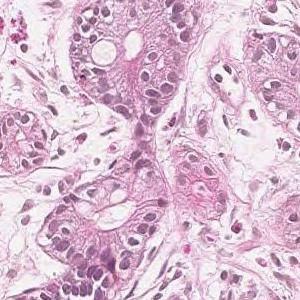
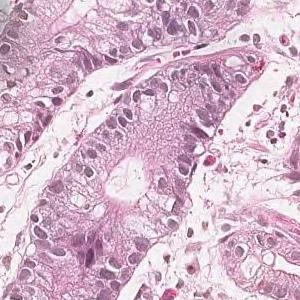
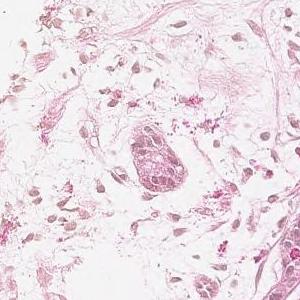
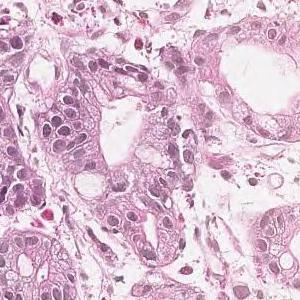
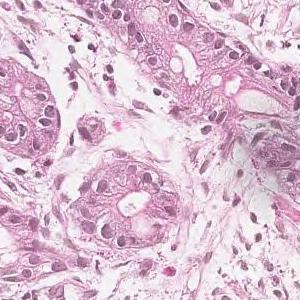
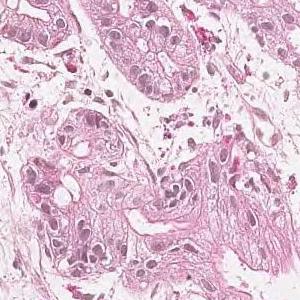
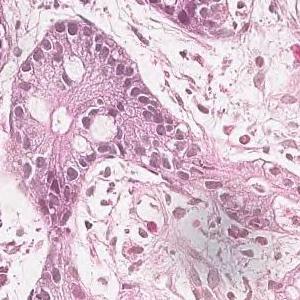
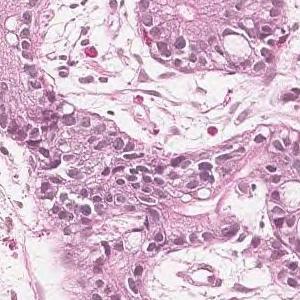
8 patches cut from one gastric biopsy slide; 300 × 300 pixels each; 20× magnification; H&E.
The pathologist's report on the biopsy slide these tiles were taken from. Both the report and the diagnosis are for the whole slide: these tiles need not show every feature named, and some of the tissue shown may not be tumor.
On the superficial epithelium, tumor tissue that infiltrates by forming medium-sized papillary or small irregular ducts is observed. Papillary adenocarcinoma
